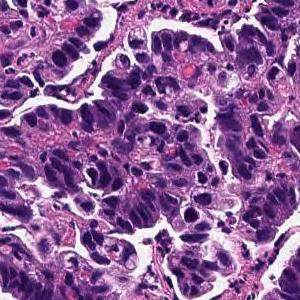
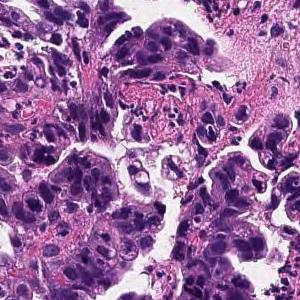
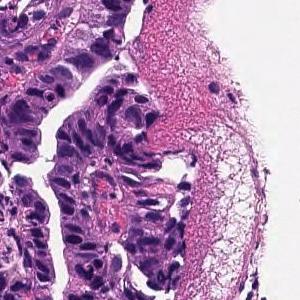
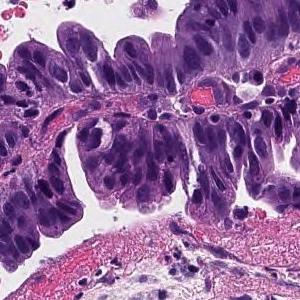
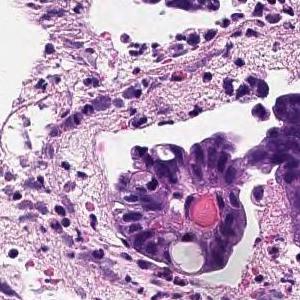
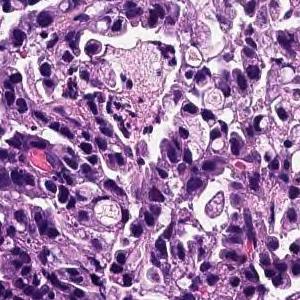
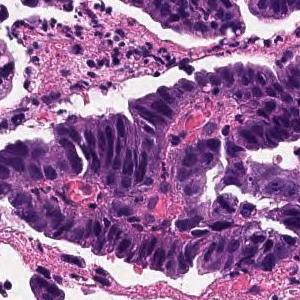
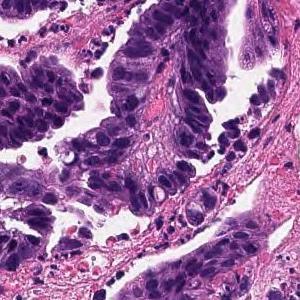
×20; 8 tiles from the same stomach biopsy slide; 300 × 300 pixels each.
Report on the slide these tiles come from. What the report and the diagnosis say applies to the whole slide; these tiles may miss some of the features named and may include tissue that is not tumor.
Infiltrating tumor tissue is observed in the superficial epithelium, showing large papillary structures or large and small ducts. Papillary adenocarcinoma
